15 tiles from the same stomach biopsy slide; hematoxylin and eosin stain; scanned at ×20.
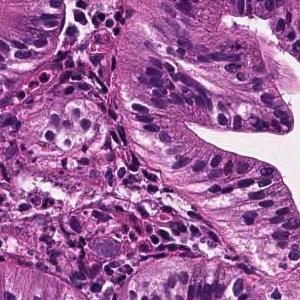
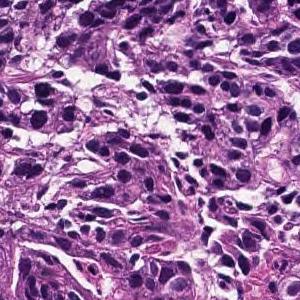
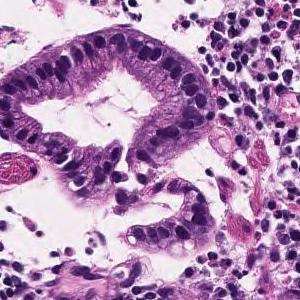
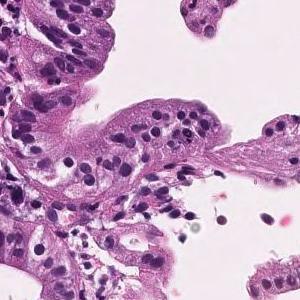
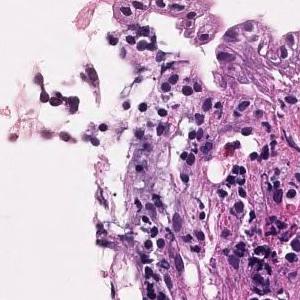
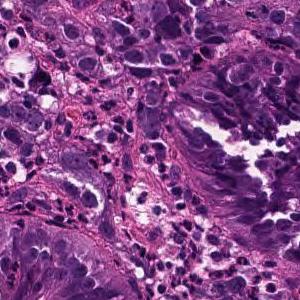
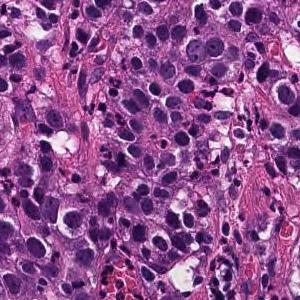
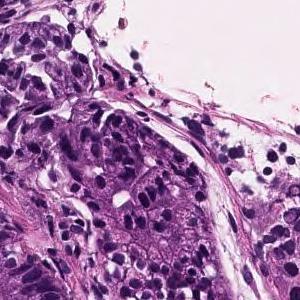
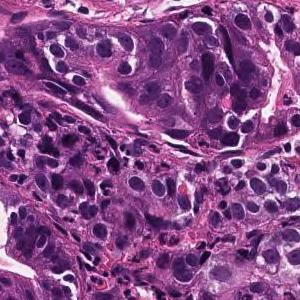
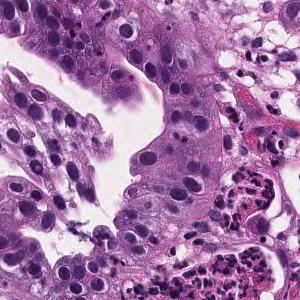
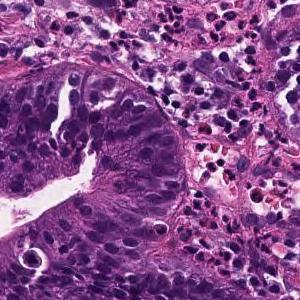
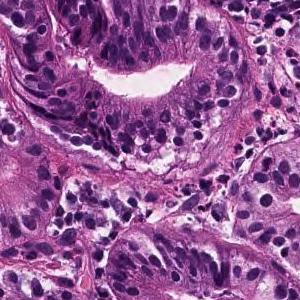
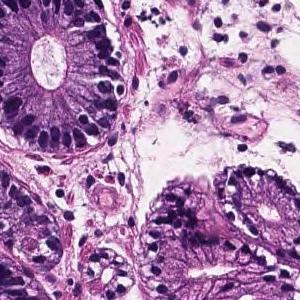
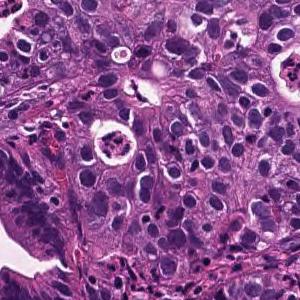
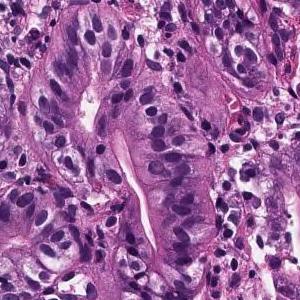
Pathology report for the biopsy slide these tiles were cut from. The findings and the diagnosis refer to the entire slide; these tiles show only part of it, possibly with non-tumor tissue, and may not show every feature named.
In the superficial epithelium, tumor tissue that invades by forming medium-sized to small, irregular ducts is observed. moderately differentiated tubular adenocarcinoma.
